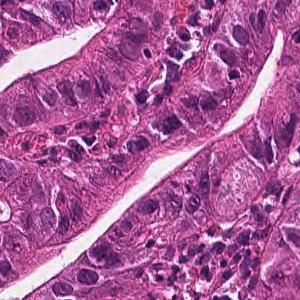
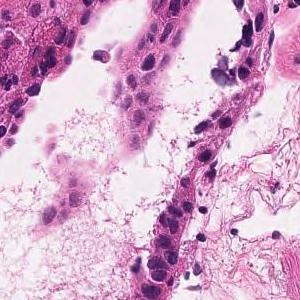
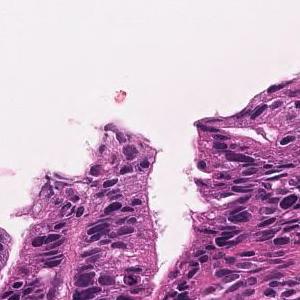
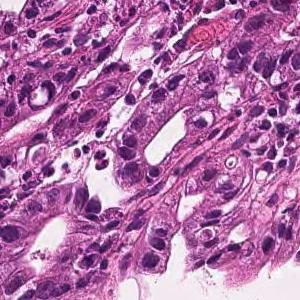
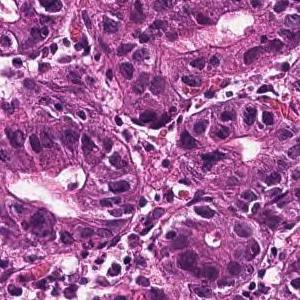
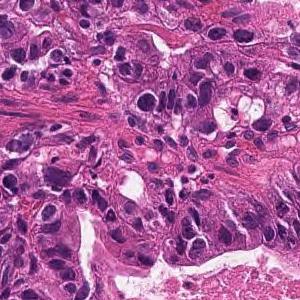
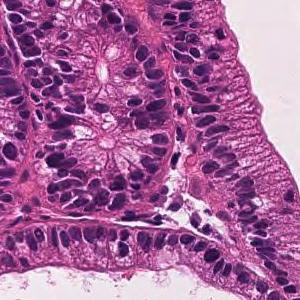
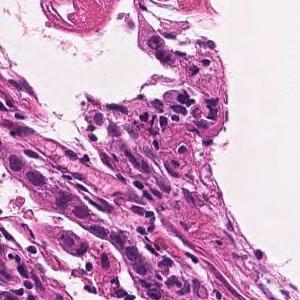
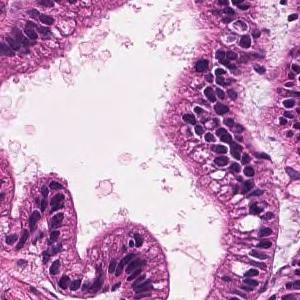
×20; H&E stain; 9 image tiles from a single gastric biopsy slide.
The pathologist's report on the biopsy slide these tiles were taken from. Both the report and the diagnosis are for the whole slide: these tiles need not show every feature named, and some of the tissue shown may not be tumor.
In the superficial epithelium, tumor tissue that invades by forming medium-sized to small, irregular ducts is observed. moderately differentiated tubular adenocarcinoma.
